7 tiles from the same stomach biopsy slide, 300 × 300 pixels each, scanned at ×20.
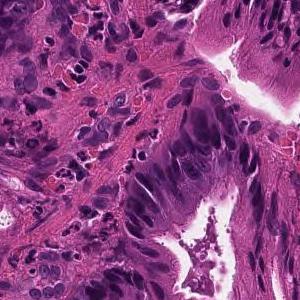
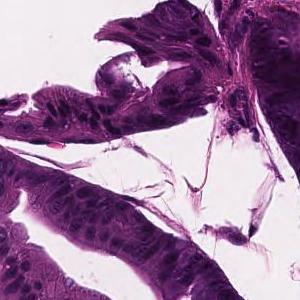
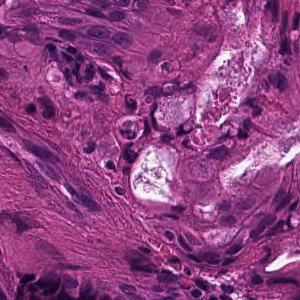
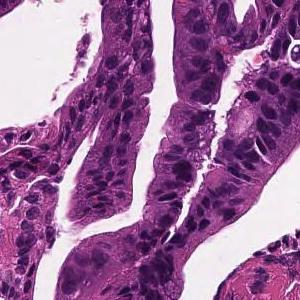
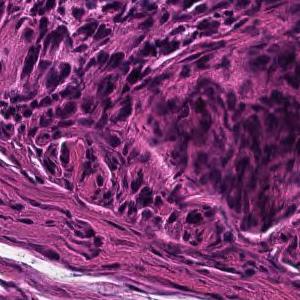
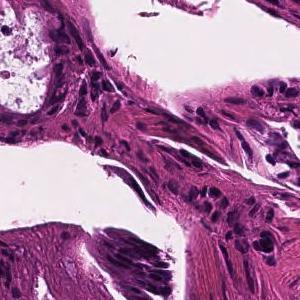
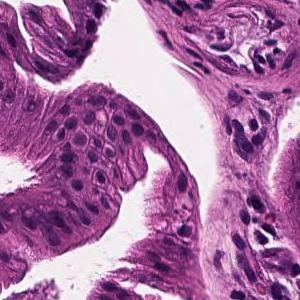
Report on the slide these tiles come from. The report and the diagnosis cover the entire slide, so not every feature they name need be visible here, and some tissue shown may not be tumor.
Tumor cells are large, highly columnar, large club-shaped nuclei, and are associated with chromatin aggregation. Papillary adenocarcinoma.
